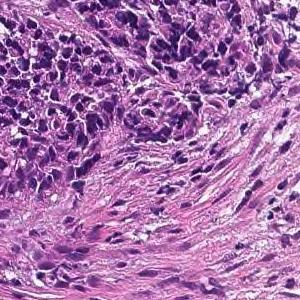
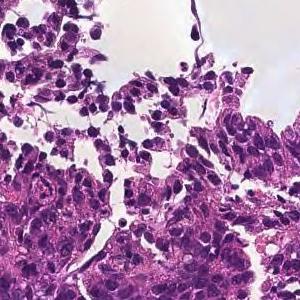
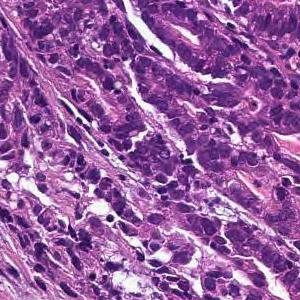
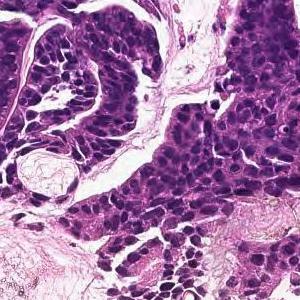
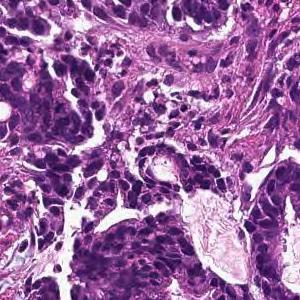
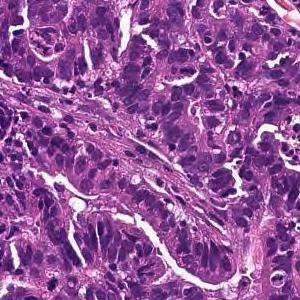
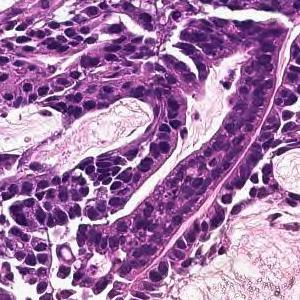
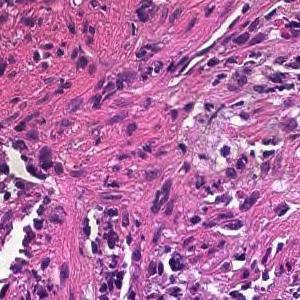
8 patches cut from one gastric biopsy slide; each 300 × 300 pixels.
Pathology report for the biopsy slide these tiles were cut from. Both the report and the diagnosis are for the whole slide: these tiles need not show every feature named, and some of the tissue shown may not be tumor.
In the superficial epithelium, tumor tissue that invades by forming medium-sized to small, irregular ducts is observed. moderately differentiated tubular adenocarcinoma.
